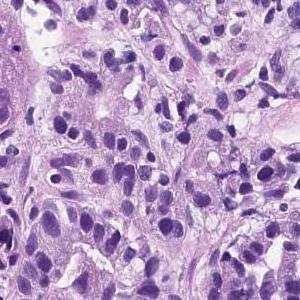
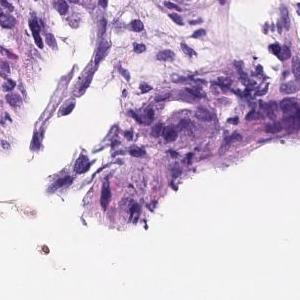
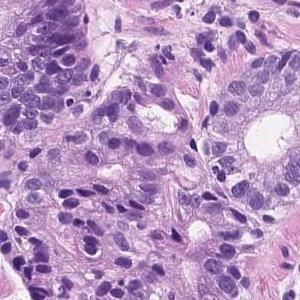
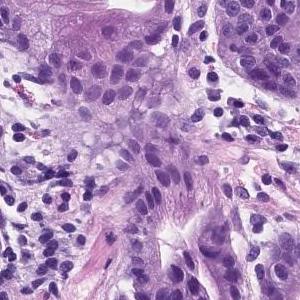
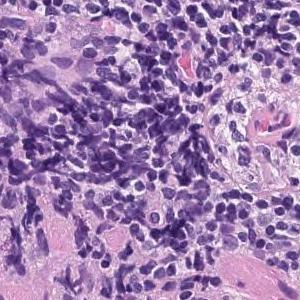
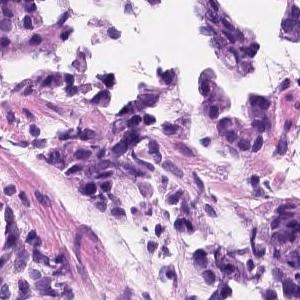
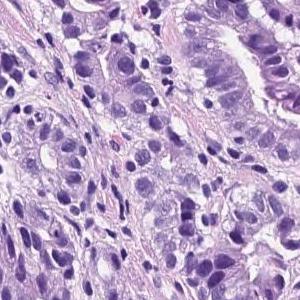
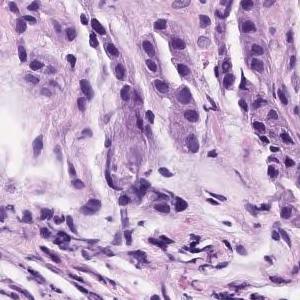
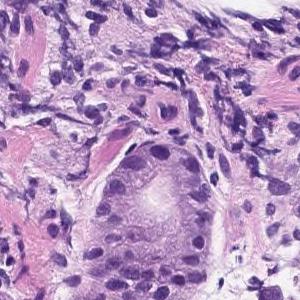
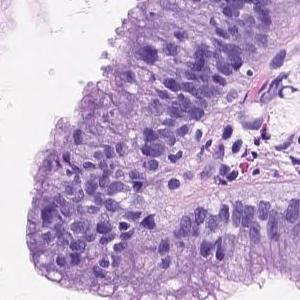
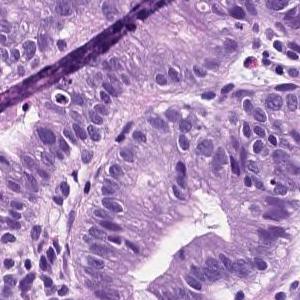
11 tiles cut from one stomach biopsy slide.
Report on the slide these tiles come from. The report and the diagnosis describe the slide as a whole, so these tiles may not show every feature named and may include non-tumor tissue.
Tumor tissue consisting of medium-sized and irregular ducts is observed infiltrating in the superficial epithelium. Tumor cells are highly columnar, with nuclei aligned basolaterally and polarized. Well differentiated tubular adenocarcinoma.
